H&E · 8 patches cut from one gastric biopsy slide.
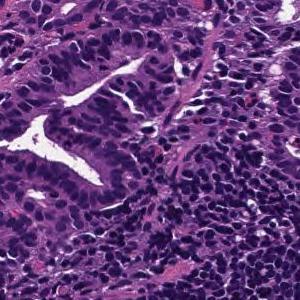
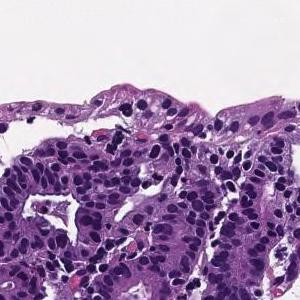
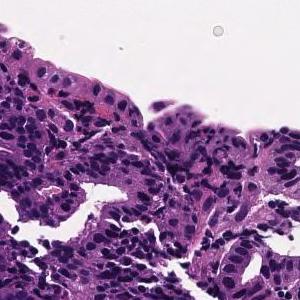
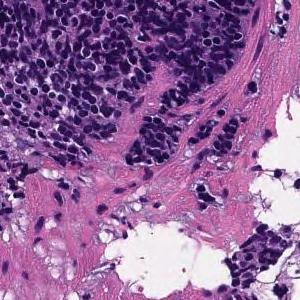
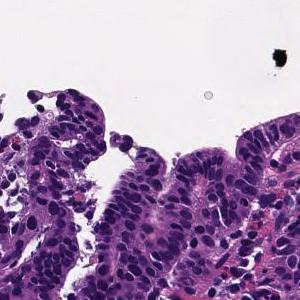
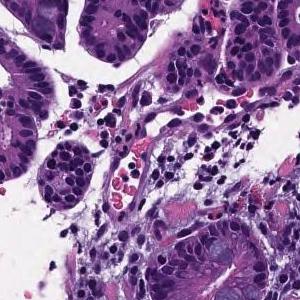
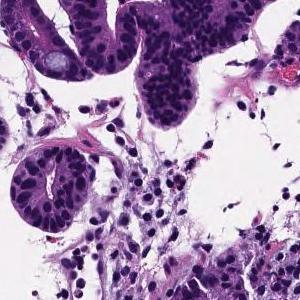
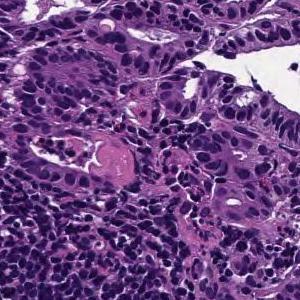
Report on the slide these tiles come from. The report describes the whole slide, diagnosis included: not every finding it names need appear in these tiles, which may also show non-tumor tissue.
Tumor tissue consisting of medium-sized, cord-like or irregular glandular infiltration is observed in the superficial epithelium. Poorly differentiated adenocarcinoma, non-solid type or moderately differentiated tubular adenocarcinoma
Histological subtype: Moderately to poorly differentiated adenocarcinoma.
"Non-solid type" is a category of the Japanese Classification of Gastric Carcinoma.
